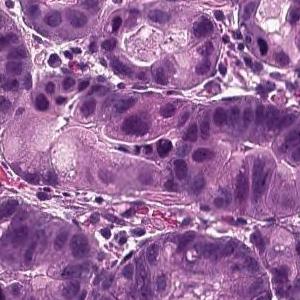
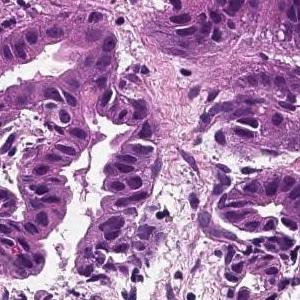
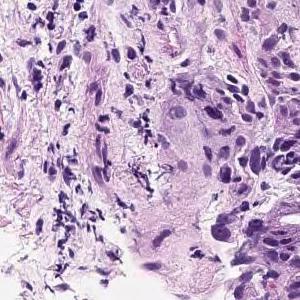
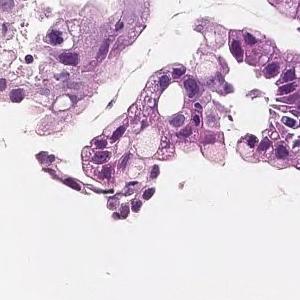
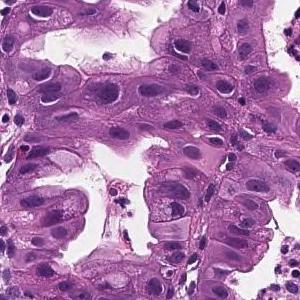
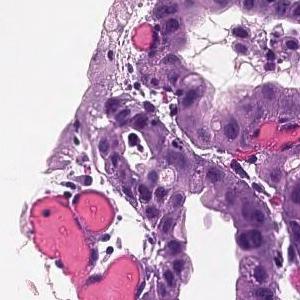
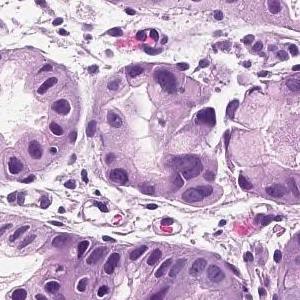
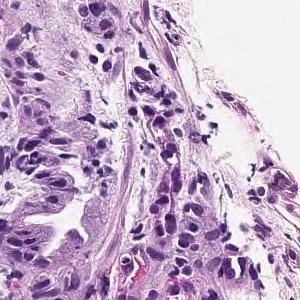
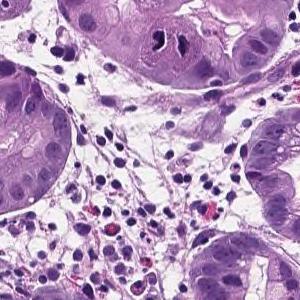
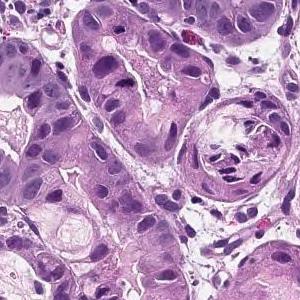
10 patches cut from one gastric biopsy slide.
The pathologist's report on the biopsy slide these tiles were taken from. Both the report and the diagnosis are for the whole slide: these tiles need not show every feature named, and some of the tissue shown may not be tumor.
On the superficial epithelium, tumor tissue that infiltrates by forming medium-sized papillary or small irregular ducts is observed. Papillary adenocarcinoma
